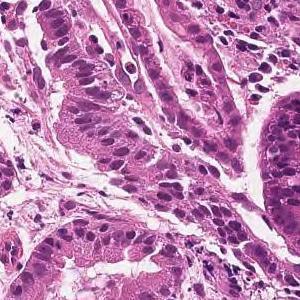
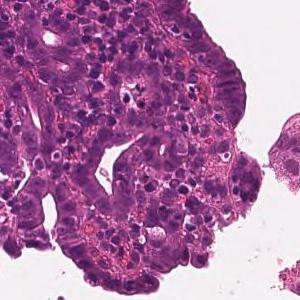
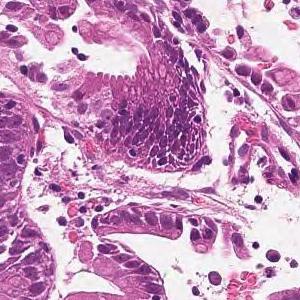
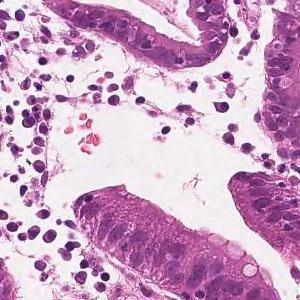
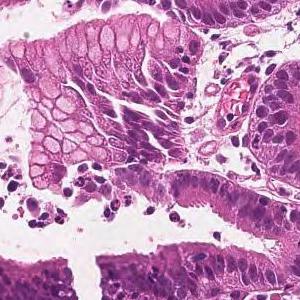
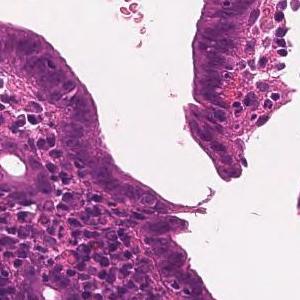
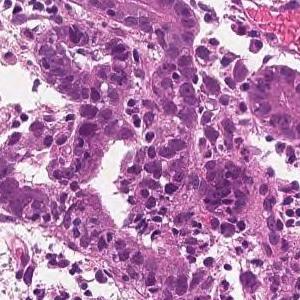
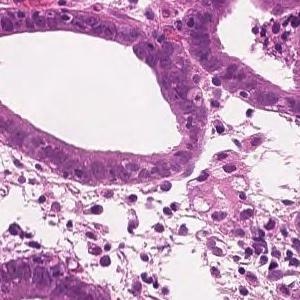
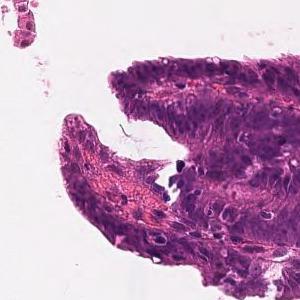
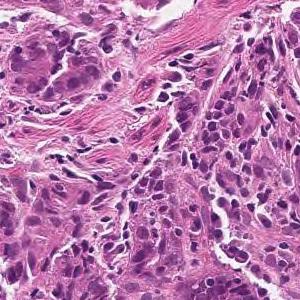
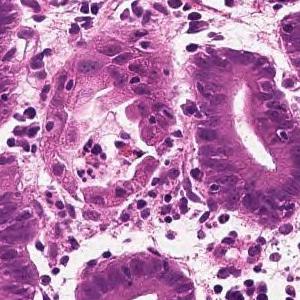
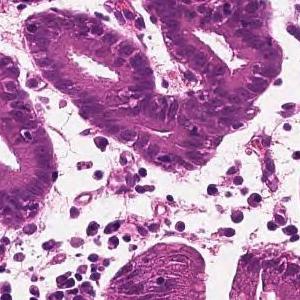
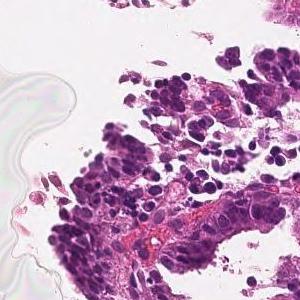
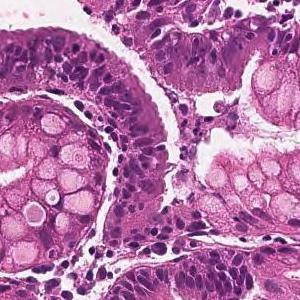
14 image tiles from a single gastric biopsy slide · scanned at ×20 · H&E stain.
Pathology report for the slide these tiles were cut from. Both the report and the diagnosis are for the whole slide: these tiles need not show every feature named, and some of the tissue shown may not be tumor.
On the superficial epithelium, tumor tissue is found in which medium-sized irregular gland ducts fuse with each other and infiltrate. moderately differentiated tubular adenocarcinoma
